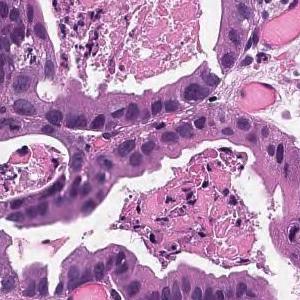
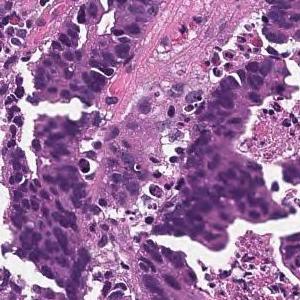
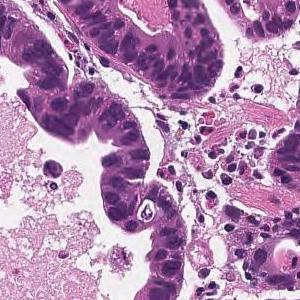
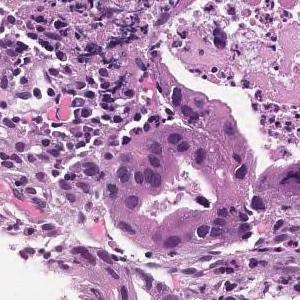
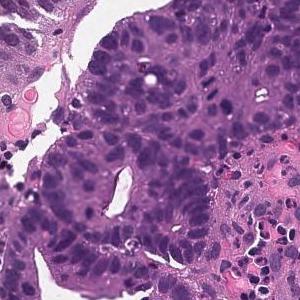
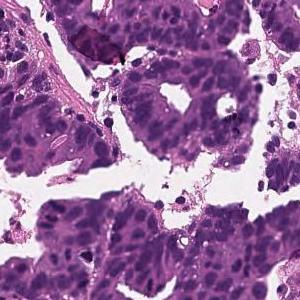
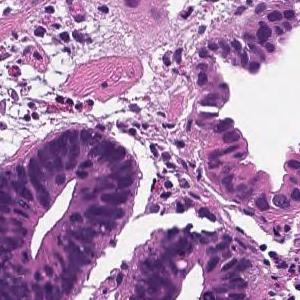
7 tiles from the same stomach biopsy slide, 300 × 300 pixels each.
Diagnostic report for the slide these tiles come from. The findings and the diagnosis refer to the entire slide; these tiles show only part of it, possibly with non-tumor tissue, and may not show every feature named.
In the superficial epithelium, tumor tissue that invades by forming medium-sized to small, irregular ducts is observed. moderately differentiated tubular adenocarcinoma.
